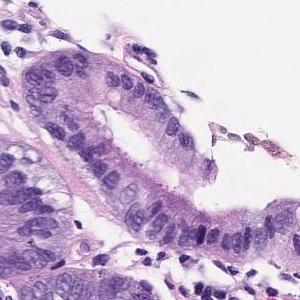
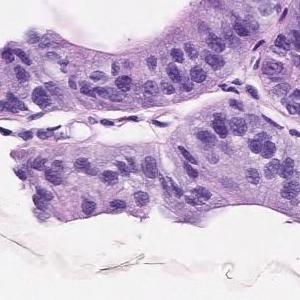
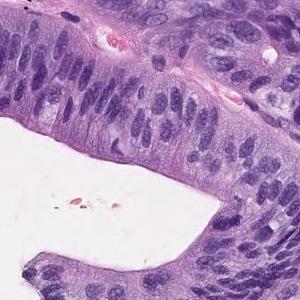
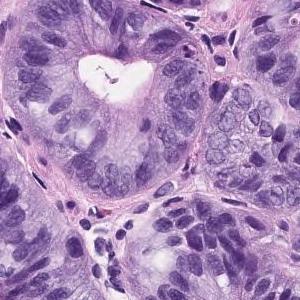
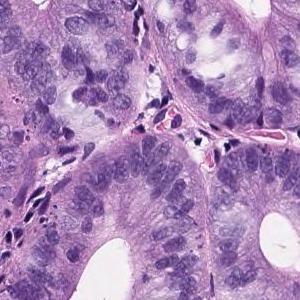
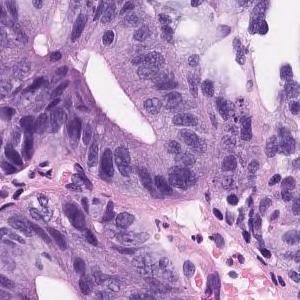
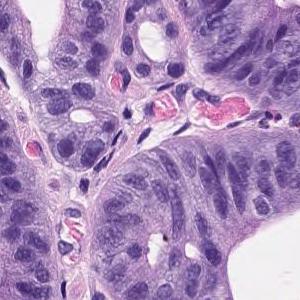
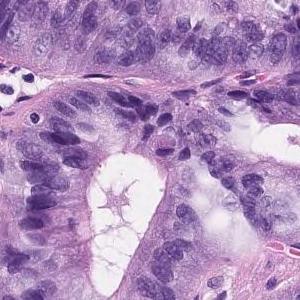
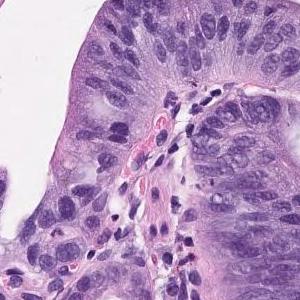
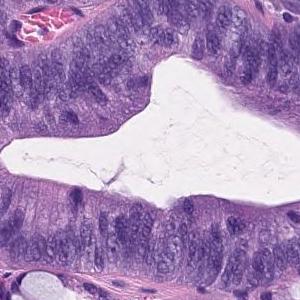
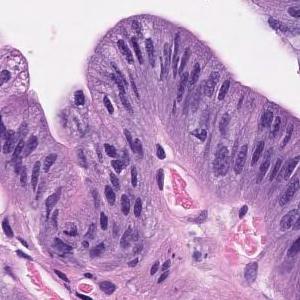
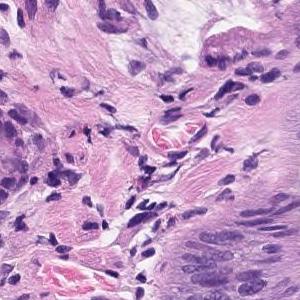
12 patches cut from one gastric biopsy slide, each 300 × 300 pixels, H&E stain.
Pathology report for the slide these tiles were cut from. What the report and the diagnosis say applies to the whole slide; these tiles may miss some of the features named and may include tissue that is not tumor.
On the superficial epithelium, tumor tissue consisting of images of atypical ducts of different sizes partially fused and densely proliferating is observed. Well differentiated tubular adenocarcinoma
